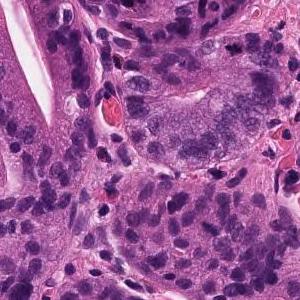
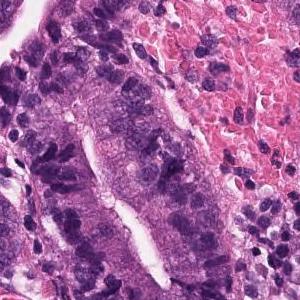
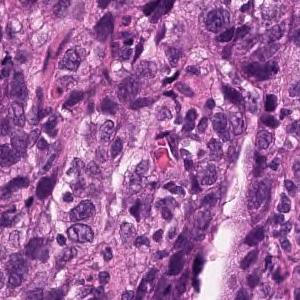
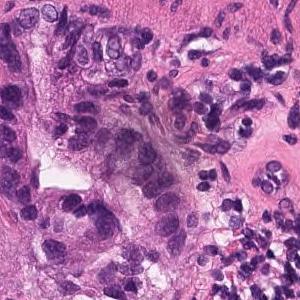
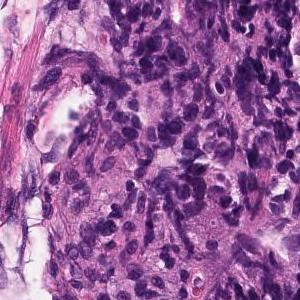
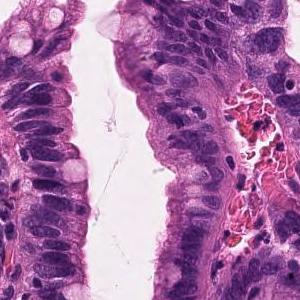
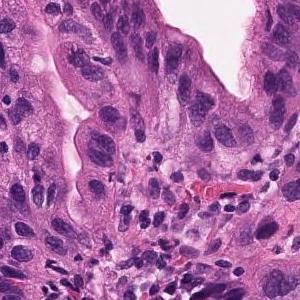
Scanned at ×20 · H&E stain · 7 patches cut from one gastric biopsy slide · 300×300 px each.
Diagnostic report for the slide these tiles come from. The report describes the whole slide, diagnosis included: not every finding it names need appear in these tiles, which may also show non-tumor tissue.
In the superficial epithelium, tumor tissue that invades by forming medium-sized to small, irregular ducts is observed. Moderately differentiated adenocarcinoma.
Histologic type: Moderately differentiated tubular adenocarcinoma.
